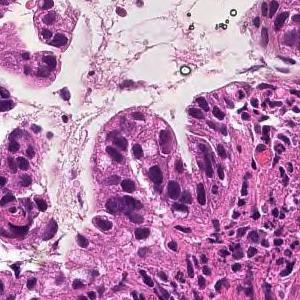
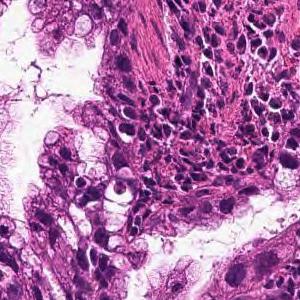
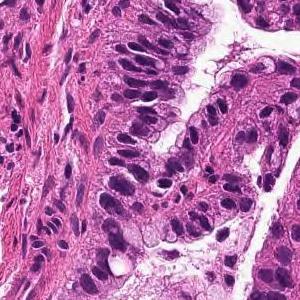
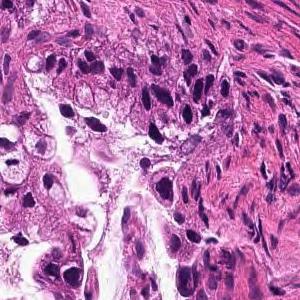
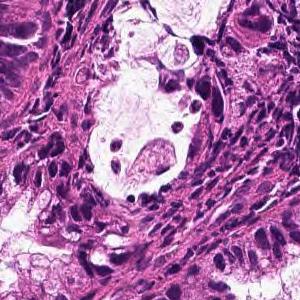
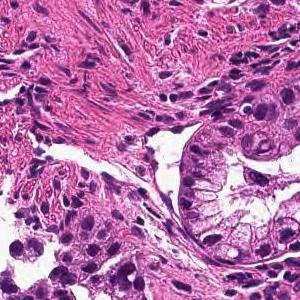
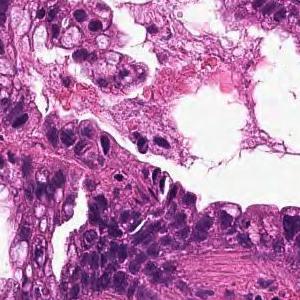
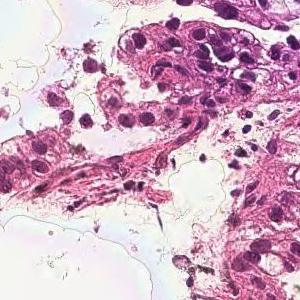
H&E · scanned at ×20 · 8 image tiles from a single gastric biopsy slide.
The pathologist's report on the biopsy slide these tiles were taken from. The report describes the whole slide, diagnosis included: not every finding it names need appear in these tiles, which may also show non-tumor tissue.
From the superficial epithelium to the muscularis mucosae, tumor tissue infiltrating by forming medium-sized irregular gland ducts is observed. Well differentiated tubular adenocarcinoma
